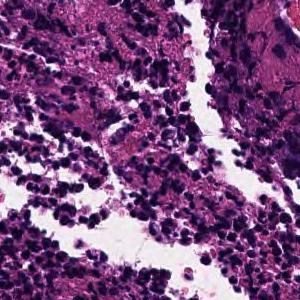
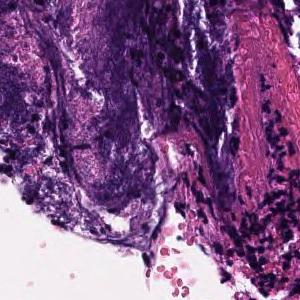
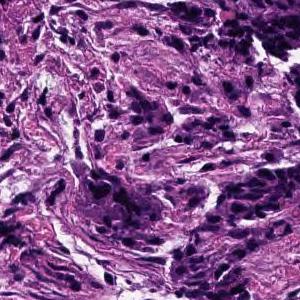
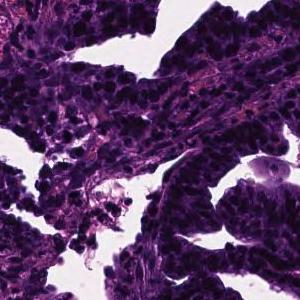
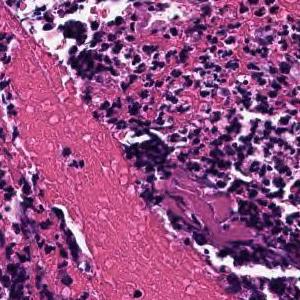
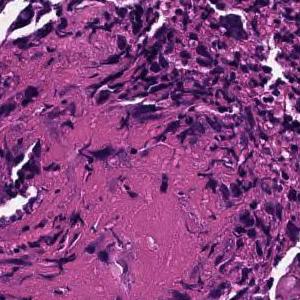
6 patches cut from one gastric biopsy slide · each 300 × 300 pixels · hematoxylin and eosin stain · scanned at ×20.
Pathology report for the slide these tiles were cut from. Both the report and the diagnosis are for the whole slide: these tiles need not show every feature named, and some of the tissue shown may not be tumor.
In the superficial epithelium, tumor tissue that invades by forming medium-sized to small, irregular ducts is observed. moderately differentiated tubular adenocarcinoma.
